Scanned at ×20 · H&E stain · 15 tiles cut from one stomach biopsy slide · 300×300 px each.
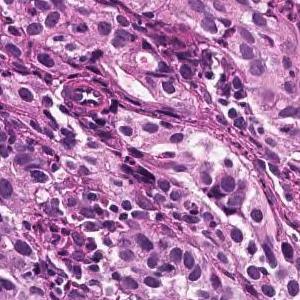
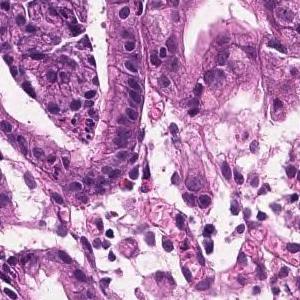
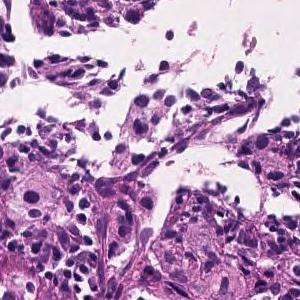
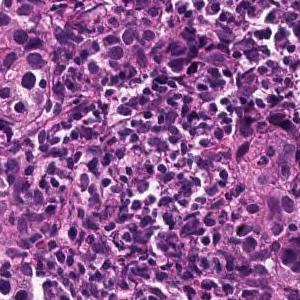
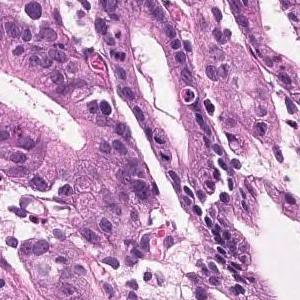
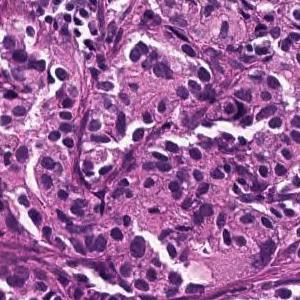
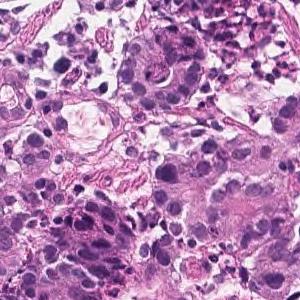
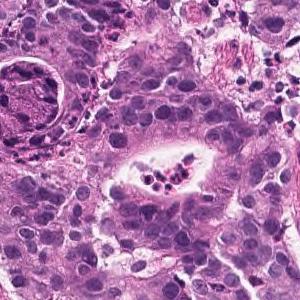
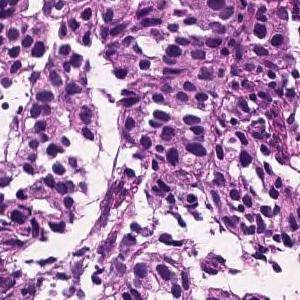
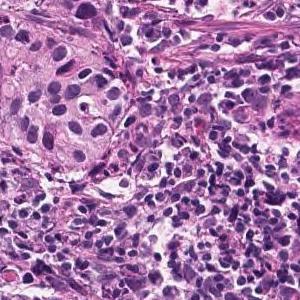
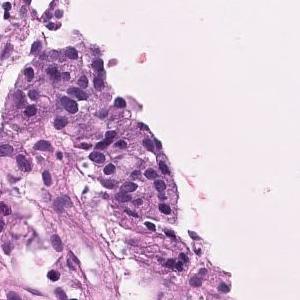
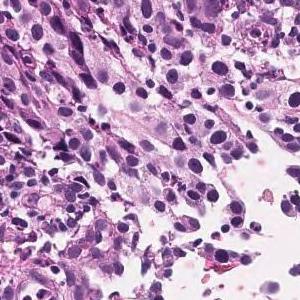
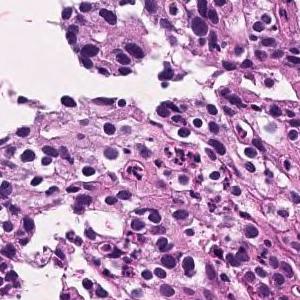
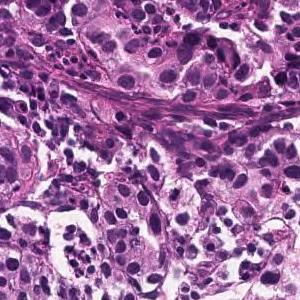
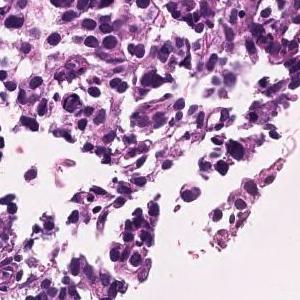
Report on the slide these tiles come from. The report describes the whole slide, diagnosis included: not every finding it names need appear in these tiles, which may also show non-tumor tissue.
Medium to small, irregular glandular ducts are formed in the superficial epithelium, and in some cases, the glandular ducts are fused to show solid alveolar lesions and infiltrating tumor tissue is observed. Moderately to poorly differentiated adenocarcinoma.
